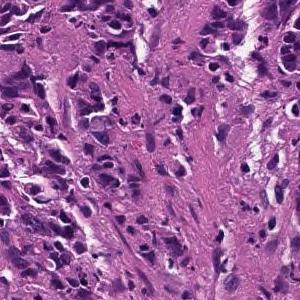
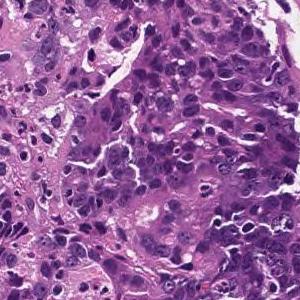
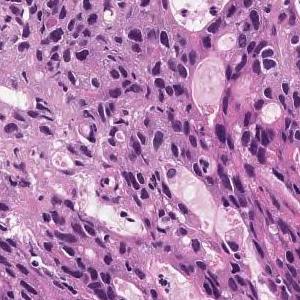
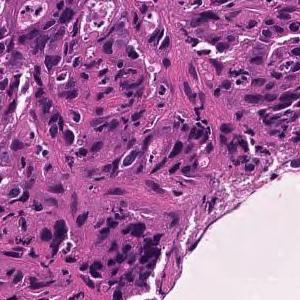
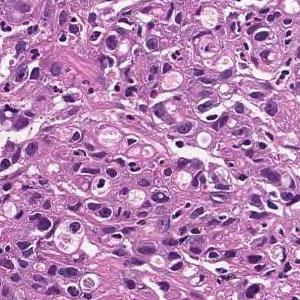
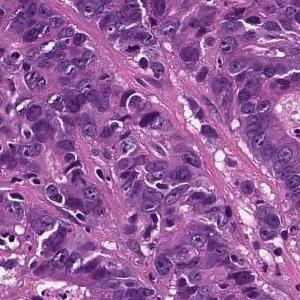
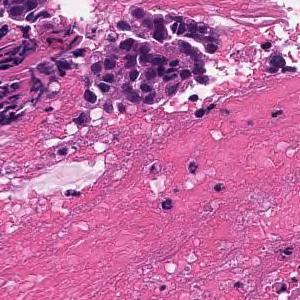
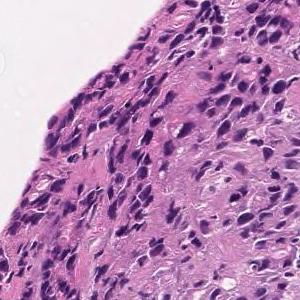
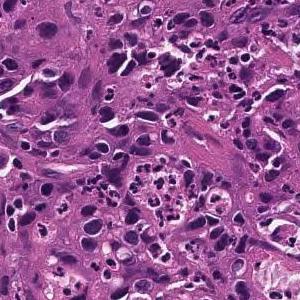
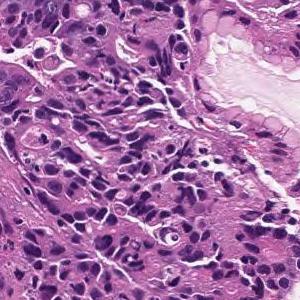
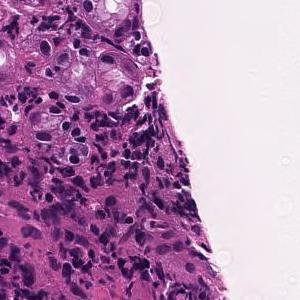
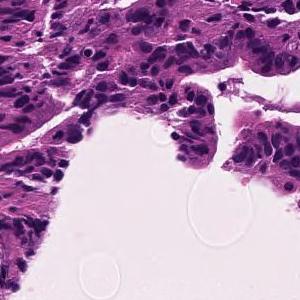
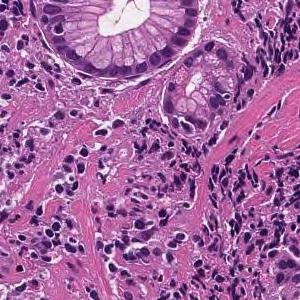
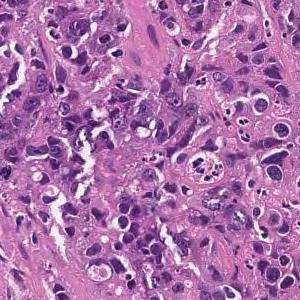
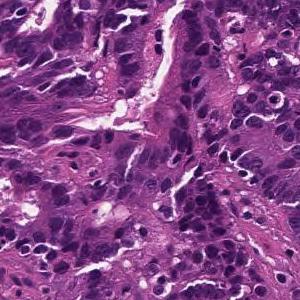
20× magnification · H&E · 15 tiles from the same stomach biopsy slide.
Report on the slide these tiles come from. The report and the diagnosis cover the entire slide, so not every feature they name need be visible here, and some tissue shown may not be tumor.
In the superficial epithelium, tumor tissue that invades by forming medium-sized to small, irregular ducts is observed. moderately differentiated tubular adenocarcinoma.
